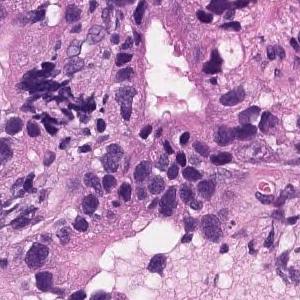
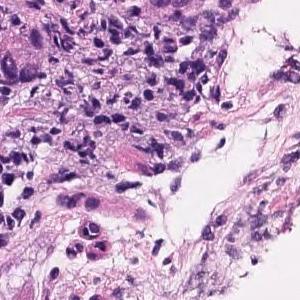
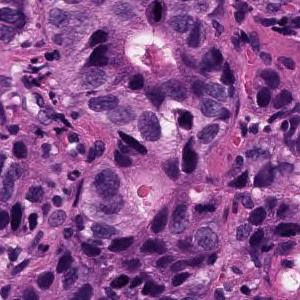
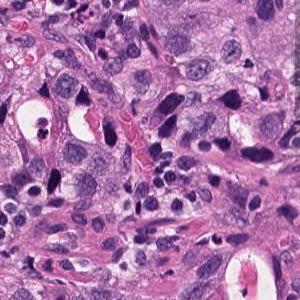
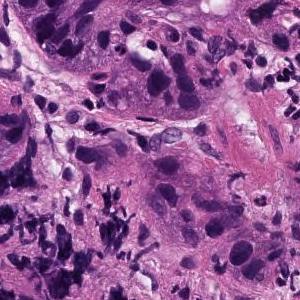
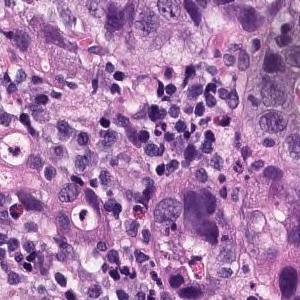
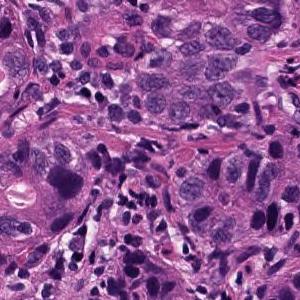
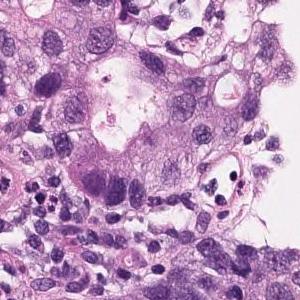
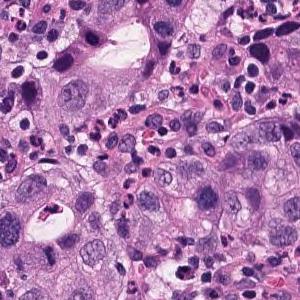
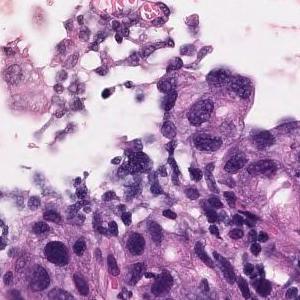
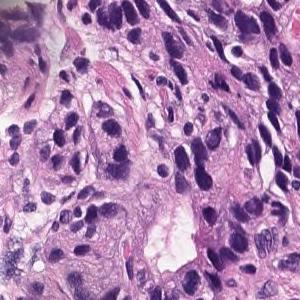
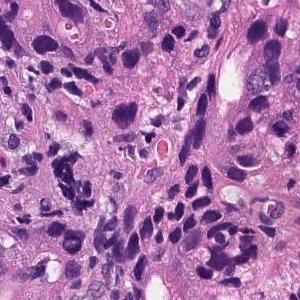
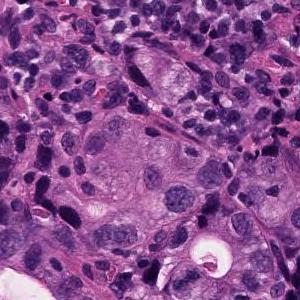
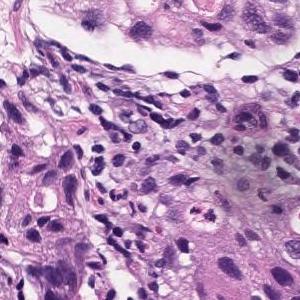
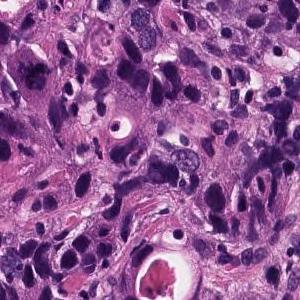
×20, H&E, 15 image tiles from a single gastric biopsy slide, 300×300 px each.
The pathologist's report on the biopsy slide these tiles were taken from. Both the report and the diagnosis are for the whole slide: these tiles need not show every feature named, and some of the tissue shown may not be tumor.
In the superficial epithelium, tumor tissue that invades by forming medium-sized to small, irregular ducts is observed. Moderately differentiated adenocarcinoma.
Histologic type: Moderately differentiated tubular adenocarcinoma.
